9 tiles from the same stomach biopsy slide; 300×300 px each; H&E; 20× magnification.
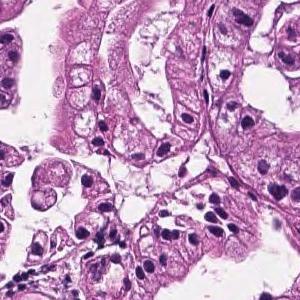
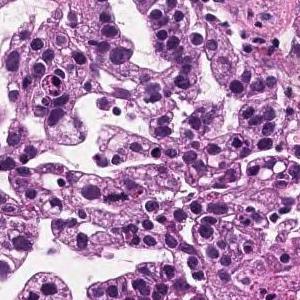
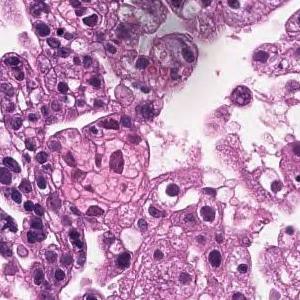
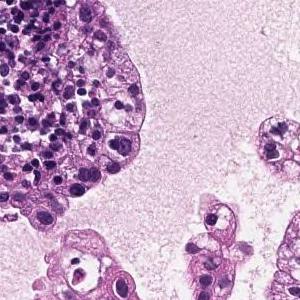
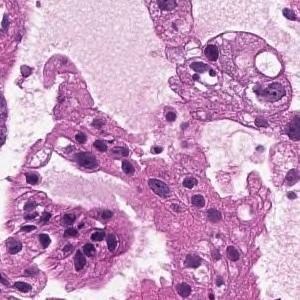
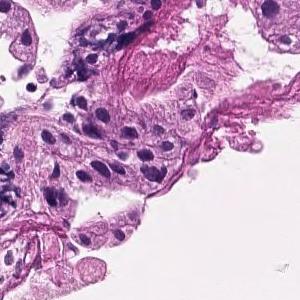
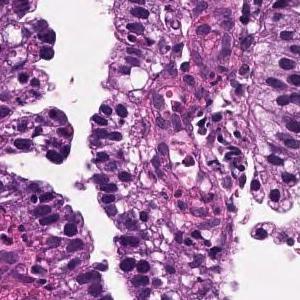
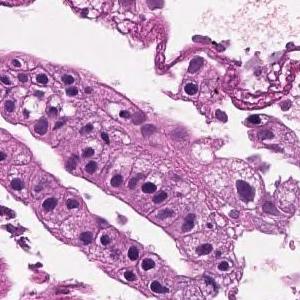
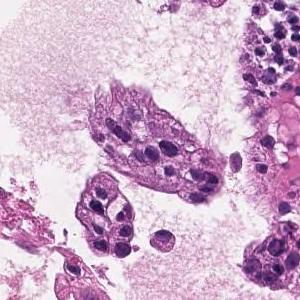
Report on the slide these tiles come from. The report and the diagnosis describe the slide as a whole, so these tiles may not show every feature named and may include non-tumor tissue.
On the superficial epithelium, tumor tissue that infiltrates by forming medium-sized papillary or small irregular ducts is observed. Papillary adenocarcinoma
